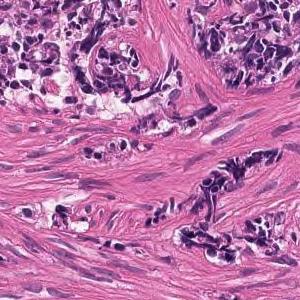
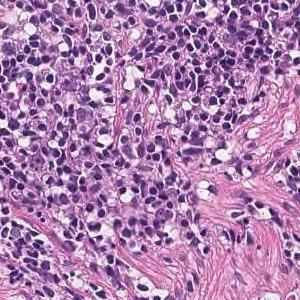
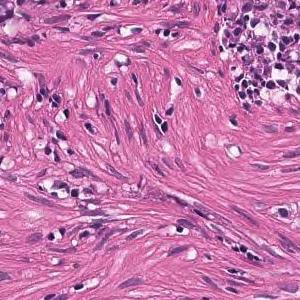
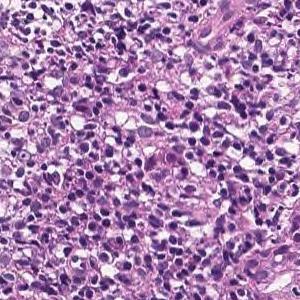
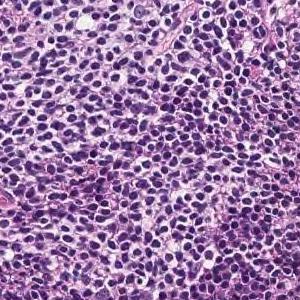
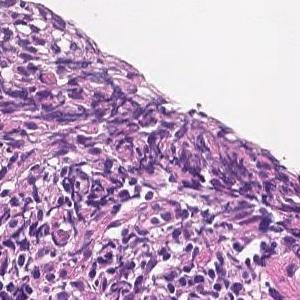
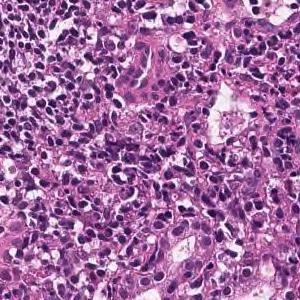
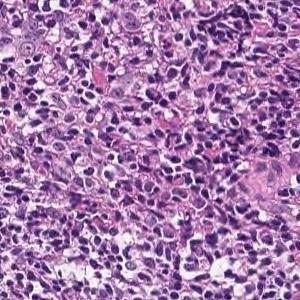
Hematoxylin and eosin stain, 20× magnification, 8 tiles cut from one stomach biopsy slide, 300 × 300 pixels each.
The pathologist's report on the biopsy slide these tiles were taken from. The report describes the whole slide, diagnosis included: not every finding it names need appear in these tiles, which may also show non-tumor tissue.
Tumor tissue consisting of cord-like or small, irregular glandular ducts fused and infiltrated is observed in the superficial epithelium. Poorly differentiated adenocarcinoma, non-solid type
"Non-solid type" is a category of the Japanese Classification of Gastric Carcinoma.
